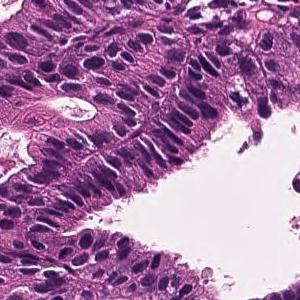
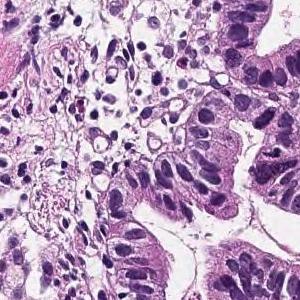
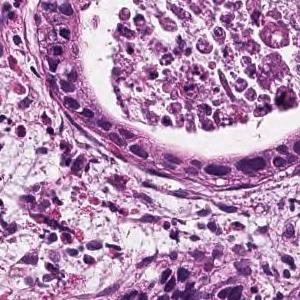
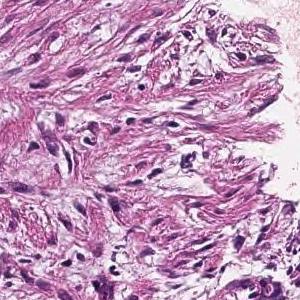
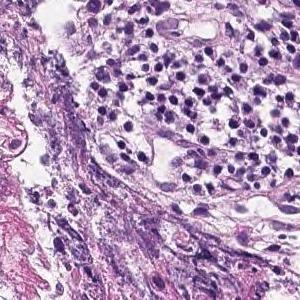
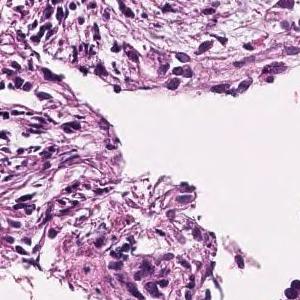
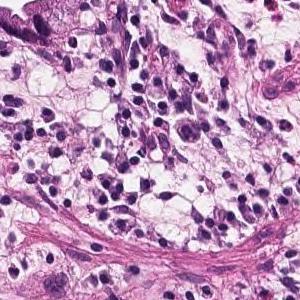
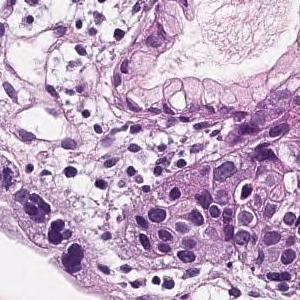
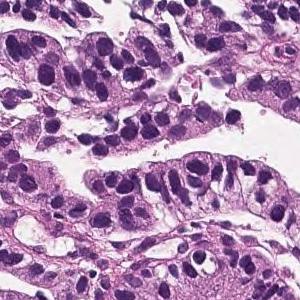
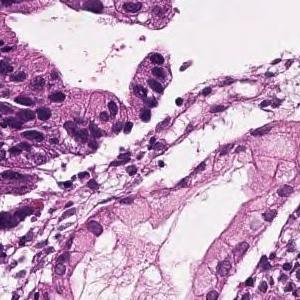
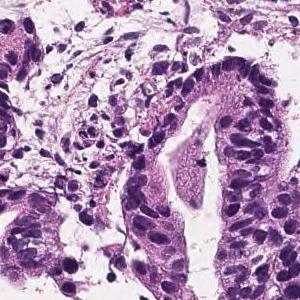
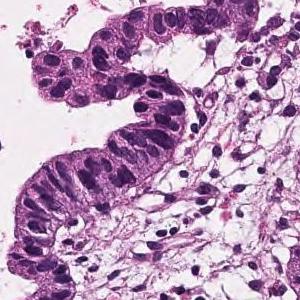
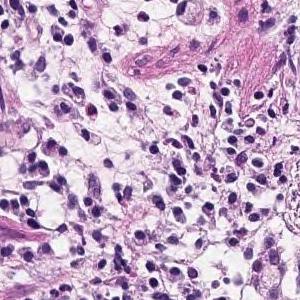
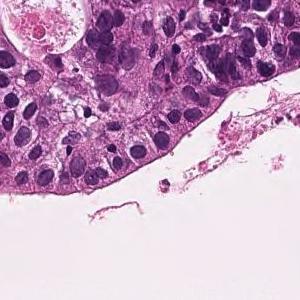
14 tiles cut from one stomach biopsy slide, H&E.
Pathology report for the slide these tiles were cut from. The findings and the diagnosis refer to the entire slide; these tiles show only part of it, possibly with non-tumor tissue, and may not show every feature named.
On the superficial epithelium, tumor tissue consisting of large, irregular glandular ducts partially fused and infiltrated is observed. Well to moderately differentiated tubular adenocarcinoma (well differentiated tubular adenocarcinoma, moderately differentiated tubular adenocarcinoma)
Histological subtype: Well to moderately differentiated tubular adenocarcinoma.
